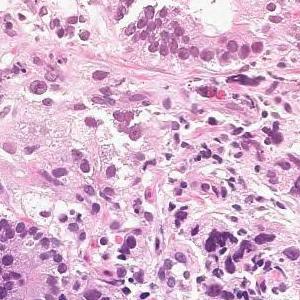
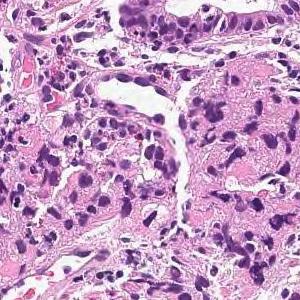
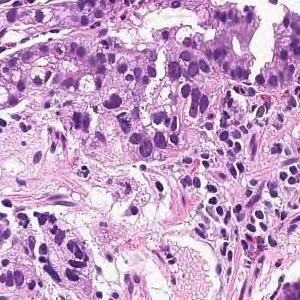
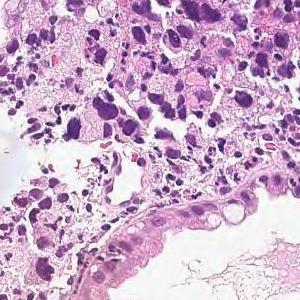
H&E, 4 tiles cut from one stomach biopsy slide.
The pathologist's report on the biopsy slide these tiles were taken from. What the report and the diagnosis say applies to the whole slide; these tiles may miss some of the features named and may include tissue that is not tumor.
Tumor tissue consisting of medium-sized, cord-like or irregular glandular infiltration is observed in the superficial epithelium. Poorly differentiated adenocarcinoma, non-solid type or moderately differentiated tubular adenocarcinoma (moderately differentiated tubular adenocarcinoma)
The dataset labels this slide moderately differentiated tubular adenocarcinoma.
The term "non-solid type" comes from the Japanese Classification of Gastric Carcinoma.
